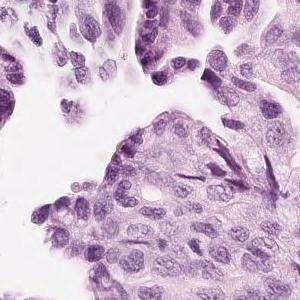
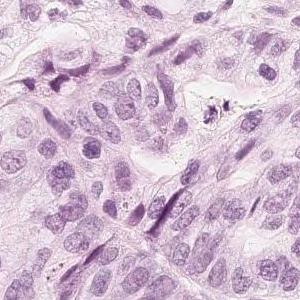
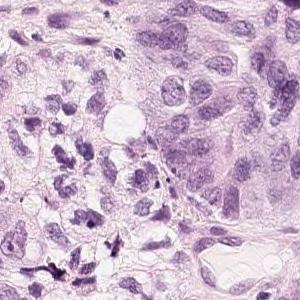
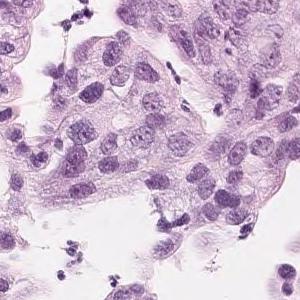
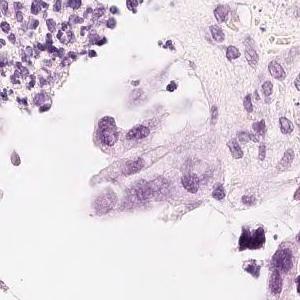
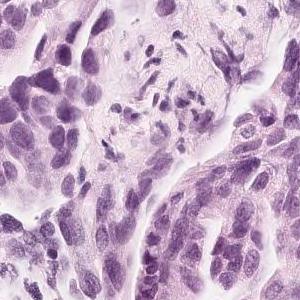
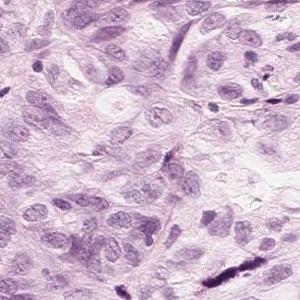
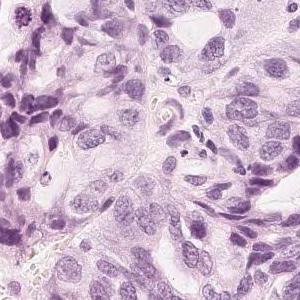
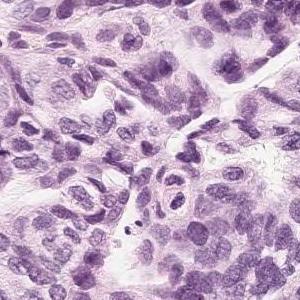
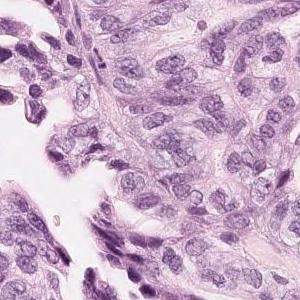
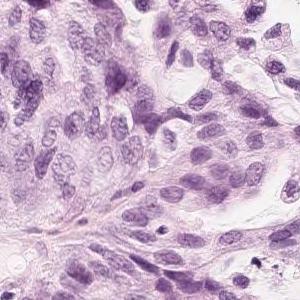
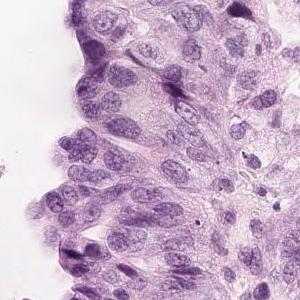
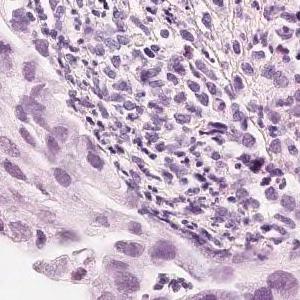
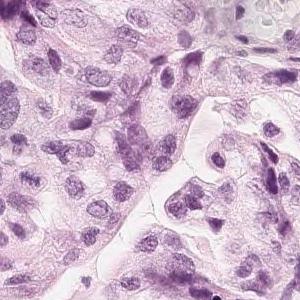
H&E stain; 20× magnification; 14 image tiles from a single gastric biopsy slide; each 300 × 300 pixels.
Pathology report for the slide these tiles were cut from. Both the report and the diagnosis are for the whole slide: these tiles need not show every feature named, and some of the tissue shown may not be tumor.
Tumor tissue in which medium-sized atypical epithelial cells with a large N/C ratio grow densely while becoming alveolar to cord-like with duct formation is observed. moderately differentiated tubular adenocarcinoma
